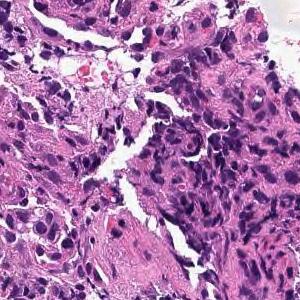
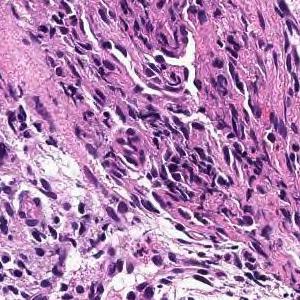
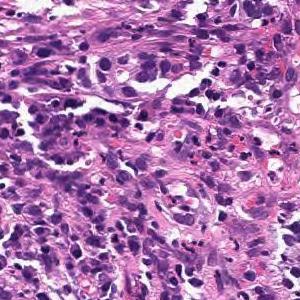
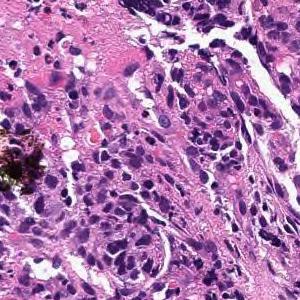
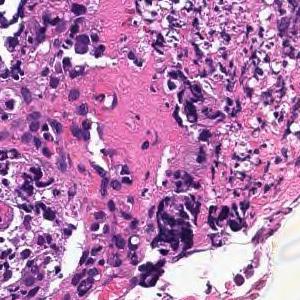
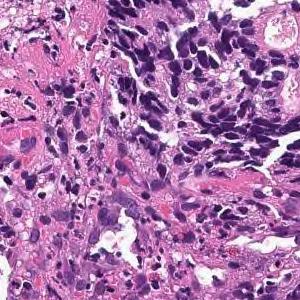
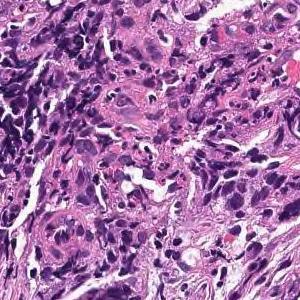
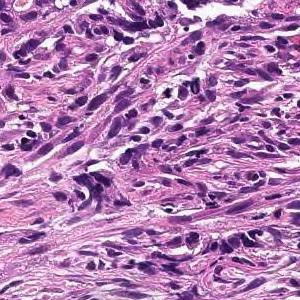
8 image tiles from a single gastric biopsy slide; 300×300 px each; H&E stain; scanned at ×20.
The pathologist's report on the biopsy slide these tiles were taken from. The report describes the whole slide, diagnosis included: not every finding it names need appear in these tiles, which may also show non-tumor tissue.
Tumor tissue consisting of medium-sized, cord-like or irregular glandular infiltration is observed in the superficial epithelium. Poorly differentiated adenocarcinoma, non-solid type or moderately differentiated tubular adenocarcinoma
Classified as moderately to poorly differentiated adenocarcinoma.
The non-solid type named here is a Japanese Classification of Gastric Carcinoma category.
